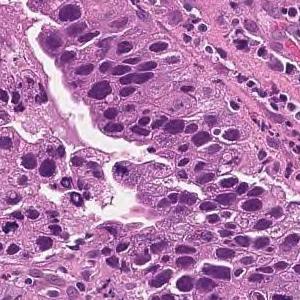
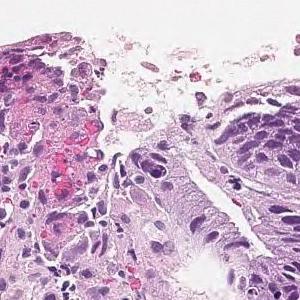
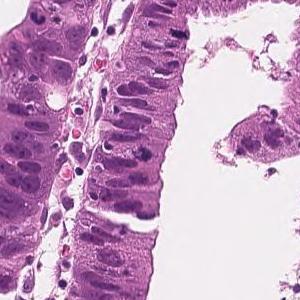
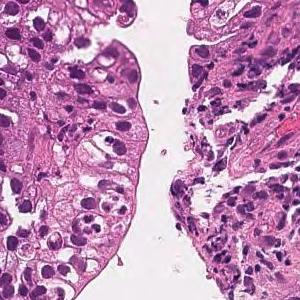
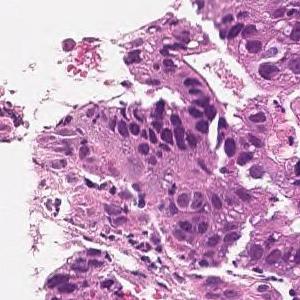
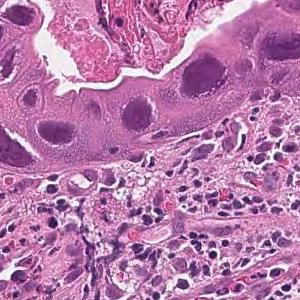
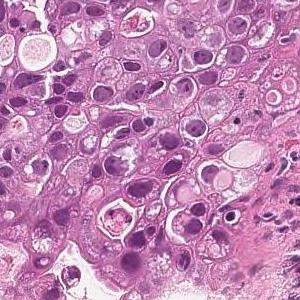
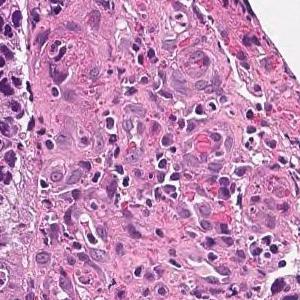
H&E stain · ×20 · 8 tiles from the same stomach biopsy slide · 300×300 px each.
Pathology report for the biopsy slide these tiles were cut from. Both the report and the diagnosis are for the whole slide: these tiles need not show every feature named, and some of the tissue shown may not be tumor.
In the superficial epithelium, tumor tissue that invades by forming medium-sized to small, irregular ducts is observed. moderately differentiated tubular adenocarcinoma.
